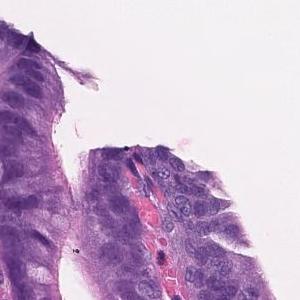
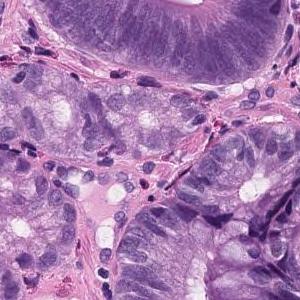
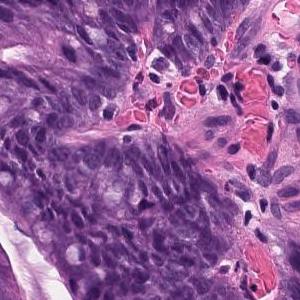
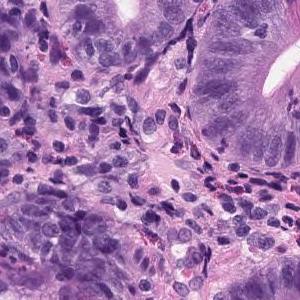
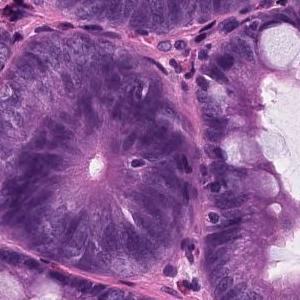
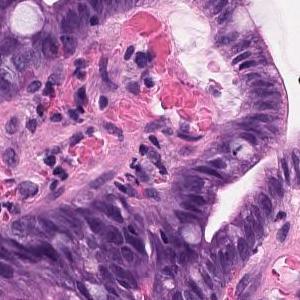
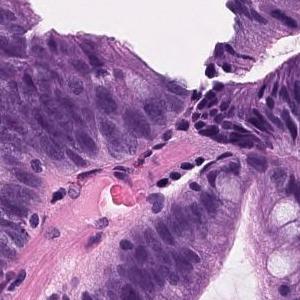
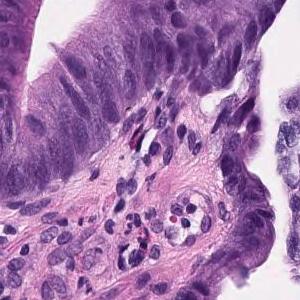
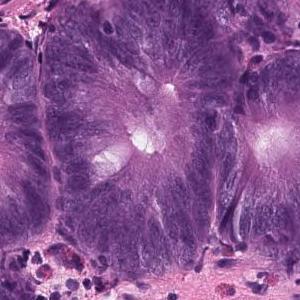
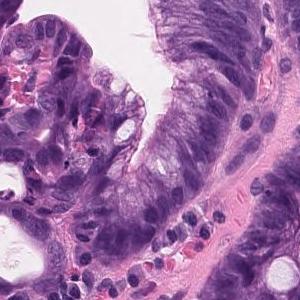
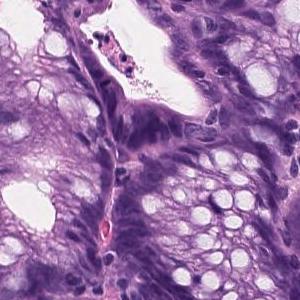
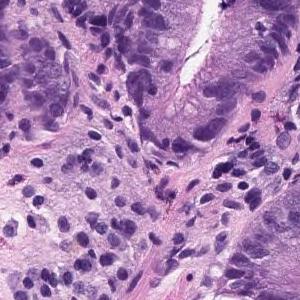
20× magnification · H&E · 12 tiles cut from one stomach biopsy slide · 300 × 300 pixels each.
Report on the slide these tiles come from. Both the report and the diagnosis are for the whole slide: these tiles need not show every feature named, and some of the tissue shown may not be tumor.
On the superficial epithelium, tumor tissue with densely growing medium to large, round tubules is observed. Tumor cells are highly columnar, with nuclei aligned basolaterally and polarized. Well differentiated tubular adenocarcinoma
